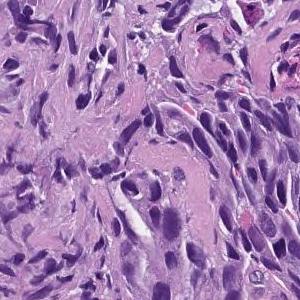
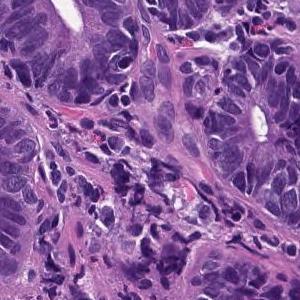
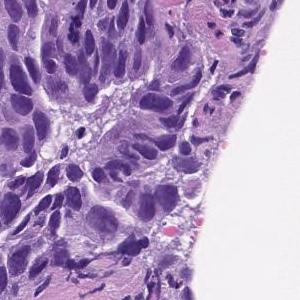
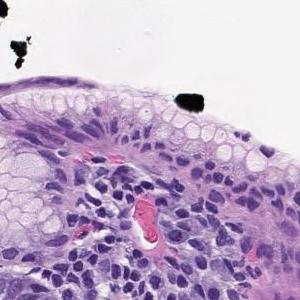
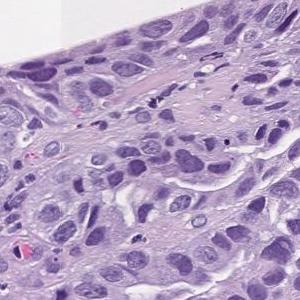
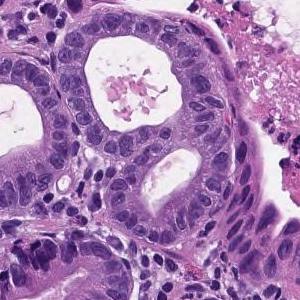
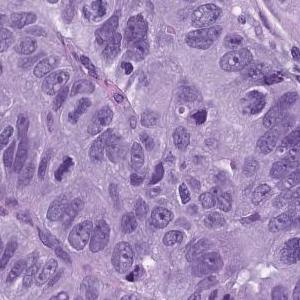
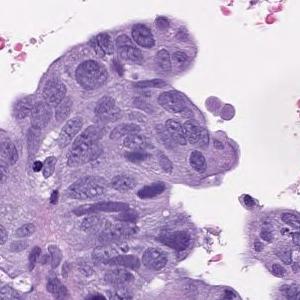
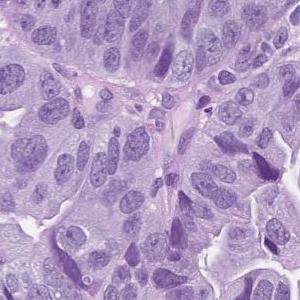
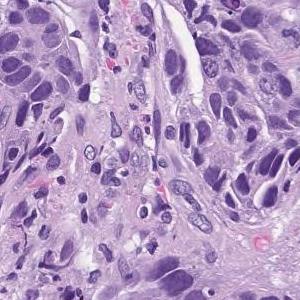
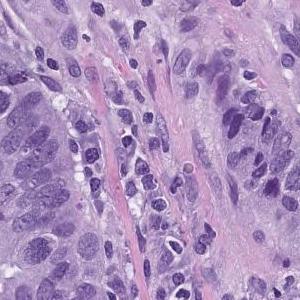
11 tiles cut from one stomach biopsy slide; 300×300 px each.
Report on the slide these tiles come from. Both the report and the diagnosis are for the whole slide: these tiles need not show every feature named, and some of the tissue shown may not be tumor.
In the superficial epithelium, tumor tissue that invades by forming medium-sized to small, irregular ducts is observed. moderately differentiated tubular adenocarcinoma.
